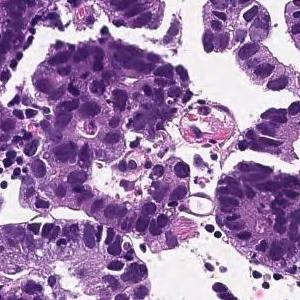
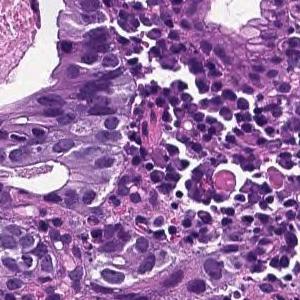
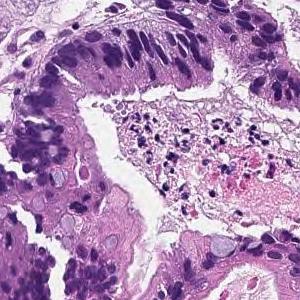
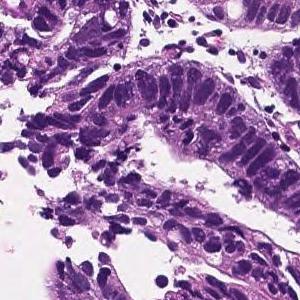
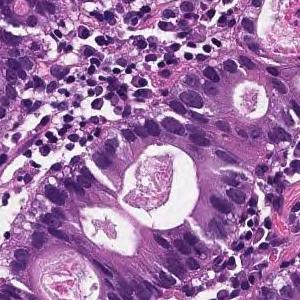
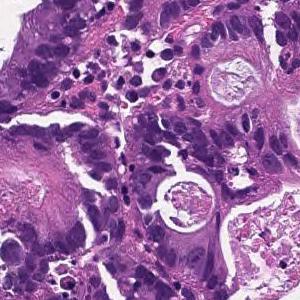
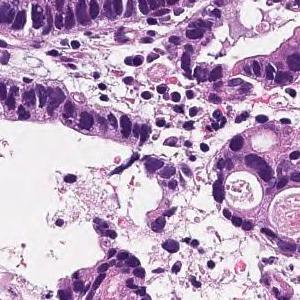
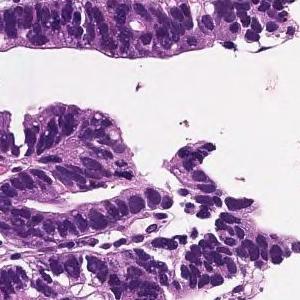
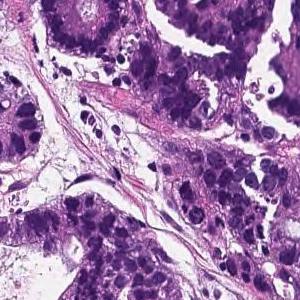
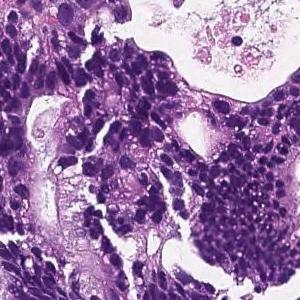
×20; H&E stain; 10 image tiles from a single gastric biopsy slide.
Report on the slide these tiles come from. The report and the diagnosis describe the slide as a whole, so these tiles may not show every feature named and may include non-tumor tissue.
In the superficial epithelium, tumor tissue that invades by forming medium-sized to small, irregular ducts is observed. moderately differentiated tubular adenocarcinoma.
